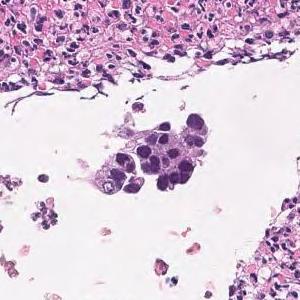
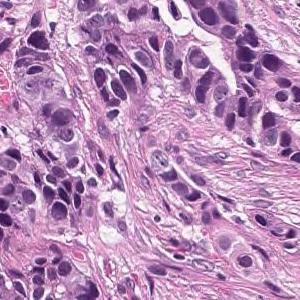
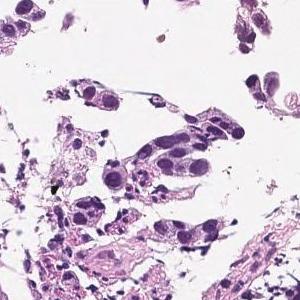
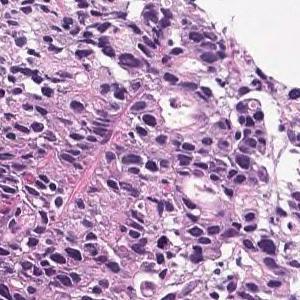
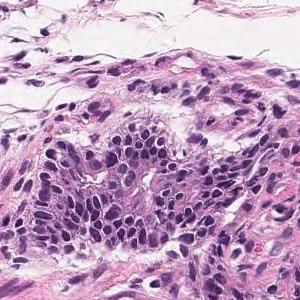
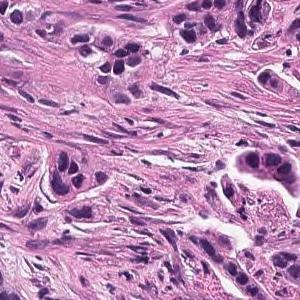
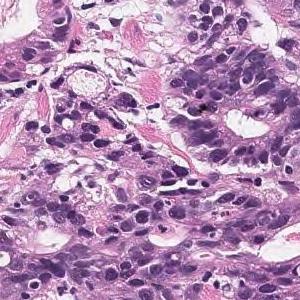
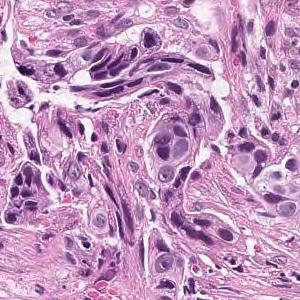
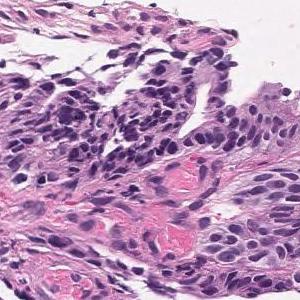
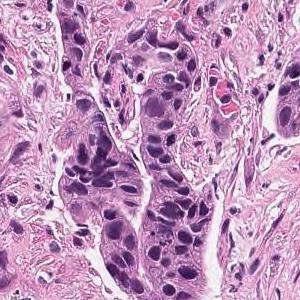
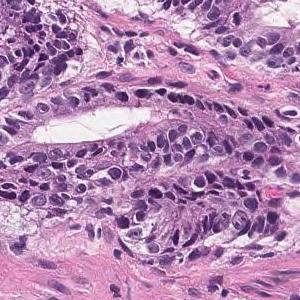
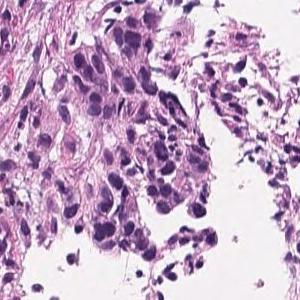
12 tiles from the same stomach biopsy slide · 300 × 300 pixels each · scanned at ×20 · H&E.
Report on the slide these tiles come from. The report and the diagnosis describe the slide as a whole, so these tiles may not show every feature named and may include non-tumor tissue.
Tumor cells are large, highly columnar, large club-shaped nuclei, and are associated with chromatin aggregation. Papillary adenocarcinoma.
